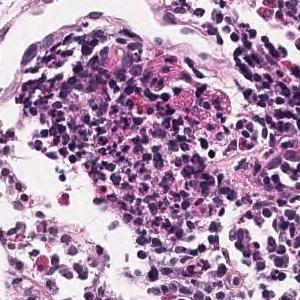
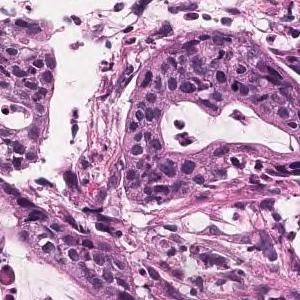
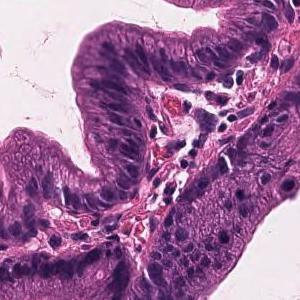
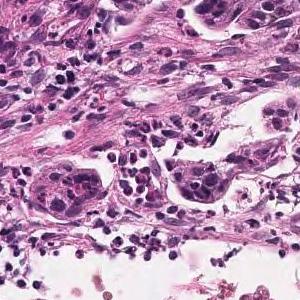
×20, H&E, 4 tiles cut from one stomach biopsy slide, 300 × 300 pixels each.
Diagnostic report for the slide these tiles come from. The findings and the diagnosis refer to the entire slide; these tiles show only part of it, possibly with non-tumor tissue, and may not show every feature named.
Tumor tissue that grows invasively while the short atypical epithelium forms small ducts is observed. moderately differentiated tubular adenocarcinoma
